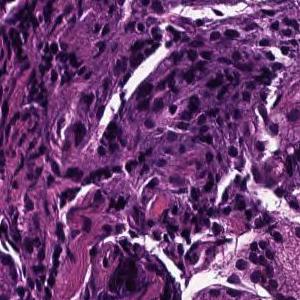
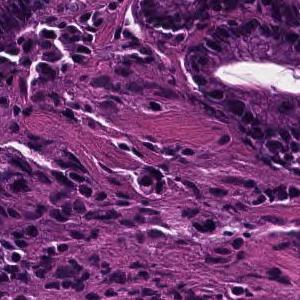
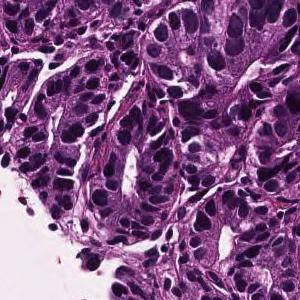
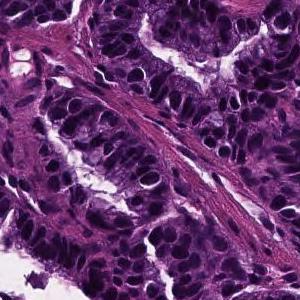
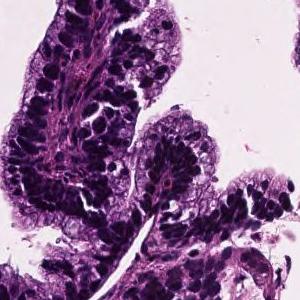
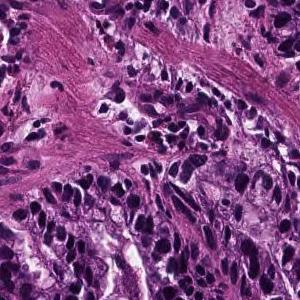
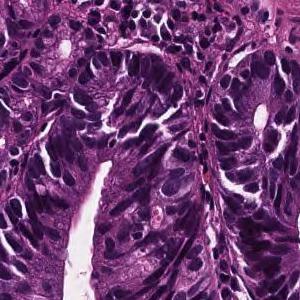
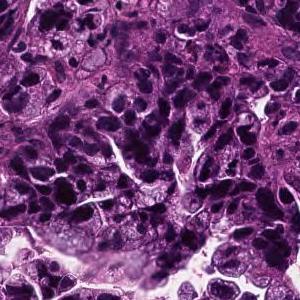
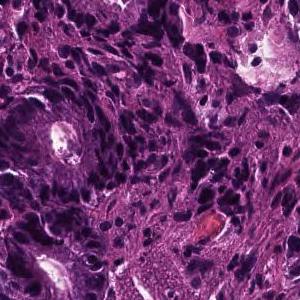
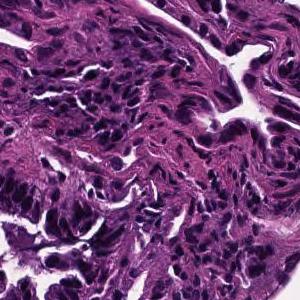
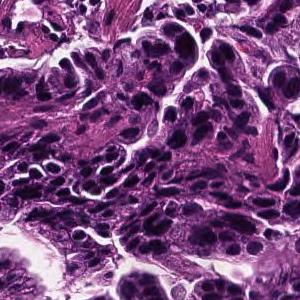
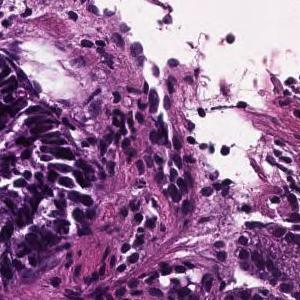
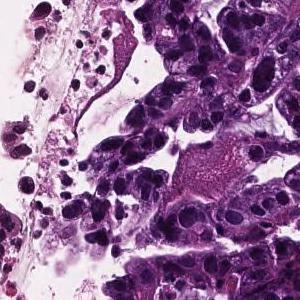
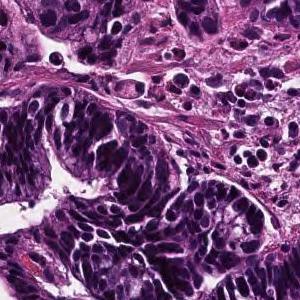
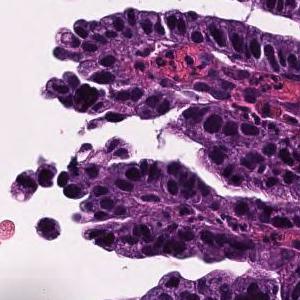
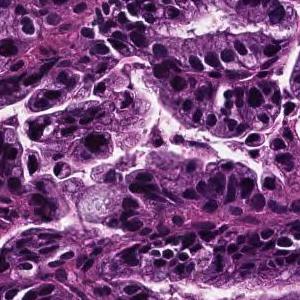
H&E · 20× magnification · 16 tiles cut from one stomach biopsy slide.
Diagnostic report for the slide these tiles come from. Both the report and the diagnosis are for the whole slide: these tiles need not show every feature named, and some of the tissue shown may not be tumor.
In the superficial epithelium, tumor tissue that invades by forming medium-sized to small, irregular ducts is observed. Well differentiated tubular adenocarcinoma.
